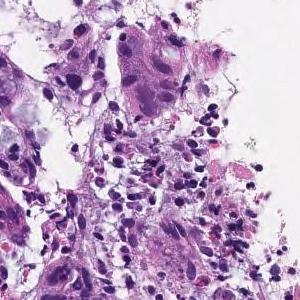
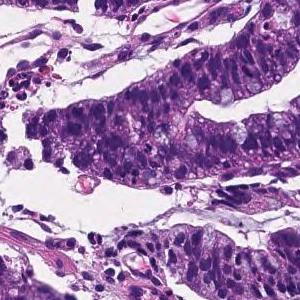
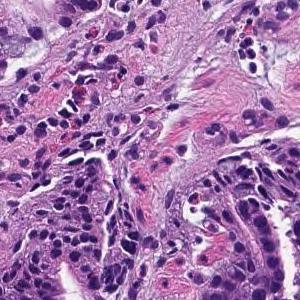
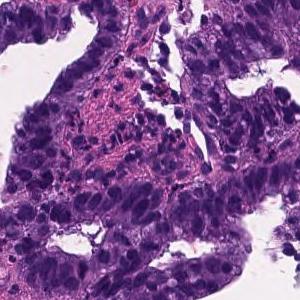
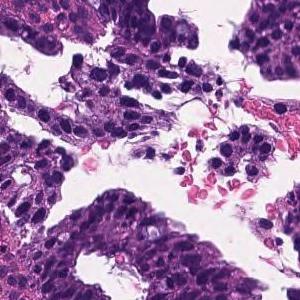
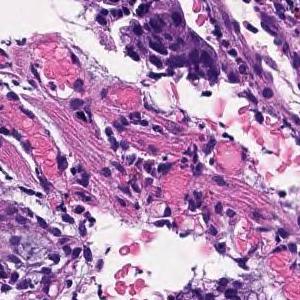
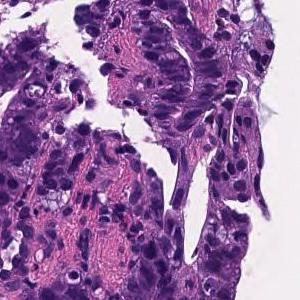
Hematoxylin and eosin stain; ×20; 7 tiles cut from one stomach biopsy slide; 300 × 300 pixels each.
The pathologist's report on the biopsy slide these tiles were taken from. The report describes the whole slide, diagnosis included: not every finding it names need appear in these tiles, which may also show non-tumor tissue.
Tumor cells are large, highly columnar, large club-shaped nuclei, and are associated with chromatin aggregation. Papillary adenocarcinoma.
